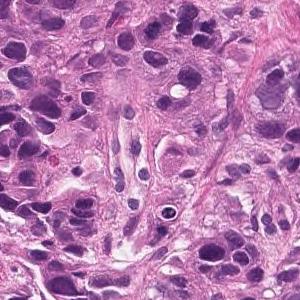
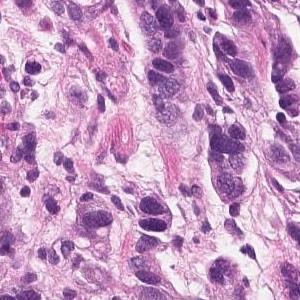
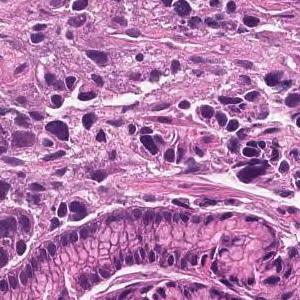
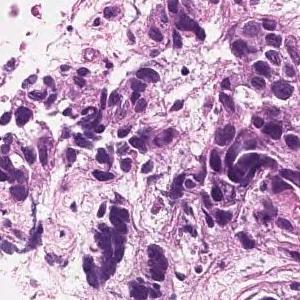
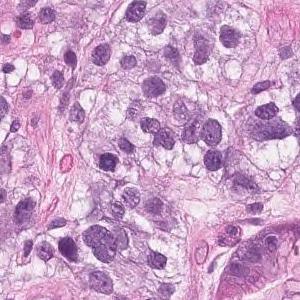
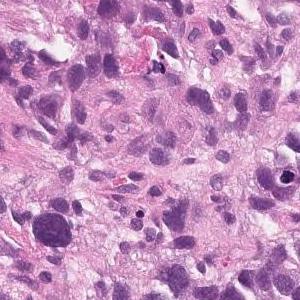
20× magnification, 6 image tiles from a single gastric biopsy slide.
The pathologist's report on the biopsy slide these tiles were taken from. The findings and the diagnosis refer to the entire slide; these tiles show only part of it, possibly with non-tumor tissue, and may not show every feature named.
Tumor tissue that infiltrates the epithelium in an alveolar manner. Poorly differentiated adenocarcinoma, solid-type
Histological subtype: Poorly differentiated adenocarcinoma, solid type (Japanese Classification of Gastric Carcinoma). The WHO 2019 equivalent is tubular adenocarcinoma, poorly differentiated.
